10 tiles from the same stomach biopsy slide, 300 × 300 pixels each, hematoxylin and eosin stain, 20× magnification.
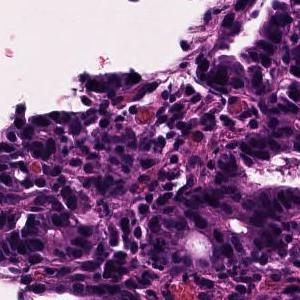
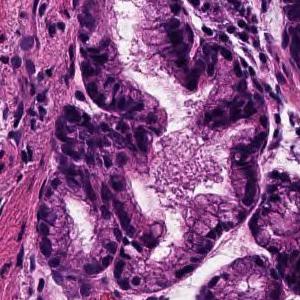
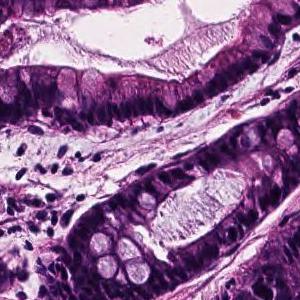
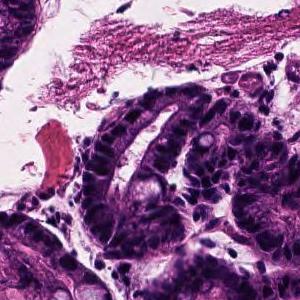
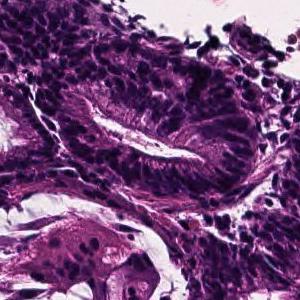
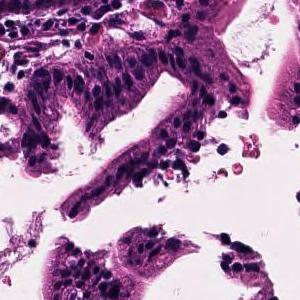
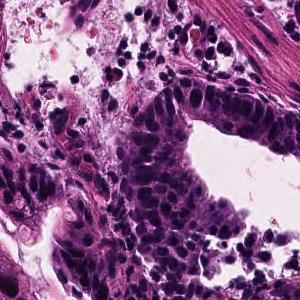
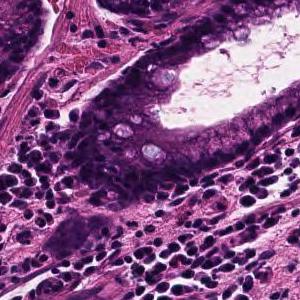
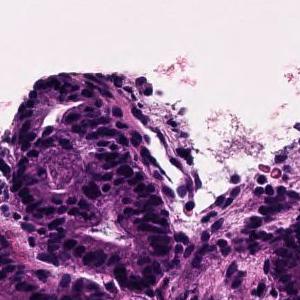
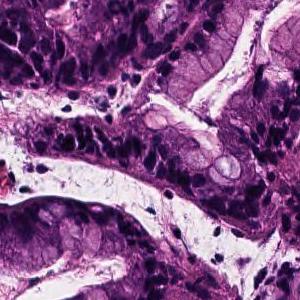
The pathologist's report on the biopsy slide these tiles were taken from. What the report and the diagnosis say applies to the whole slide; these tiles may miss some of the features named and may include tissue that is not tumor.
In the superficial epithelium, tumor tissue infiltrated by partial fusion of medium-sized to small, irregular glandular ducts is observed. moderately differentiated tubular adenocarcinoma
